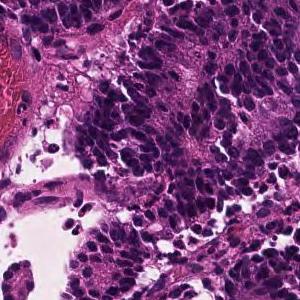
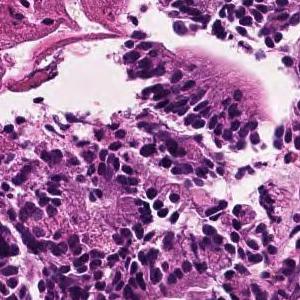
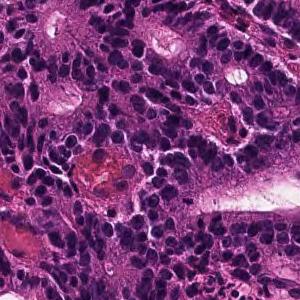
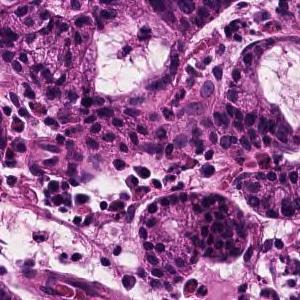
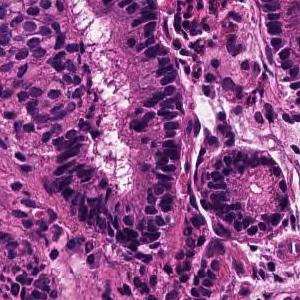
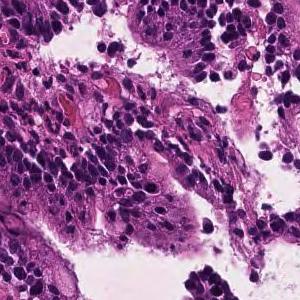
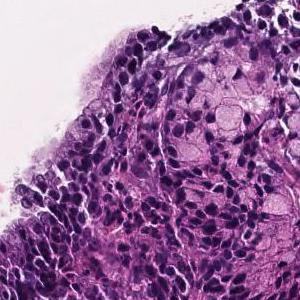
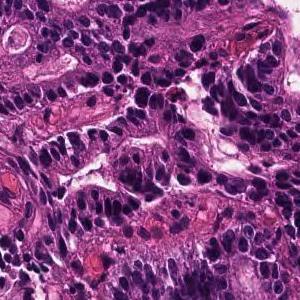
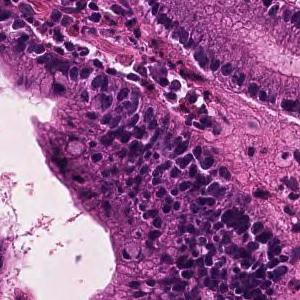
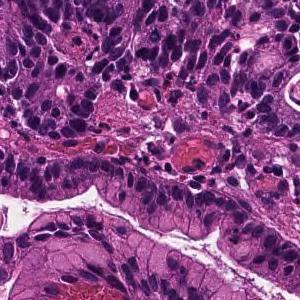
10 tiles cut from one stomach biopsy slide.
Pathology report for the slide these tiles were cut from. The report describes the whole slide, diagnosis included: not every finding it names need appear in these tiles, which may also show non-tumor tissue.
In the superficial epithelium, tumor tissue that invades by forming medium-sized to small, irregular ducts is observed. moderately differentiated tubular adenocarcinoma.
